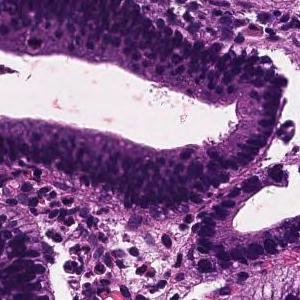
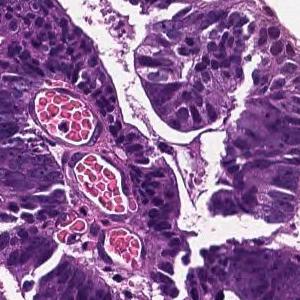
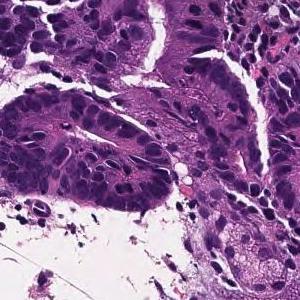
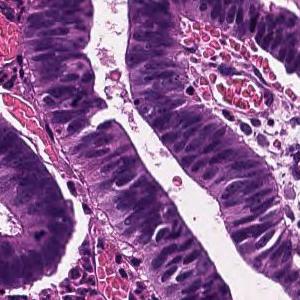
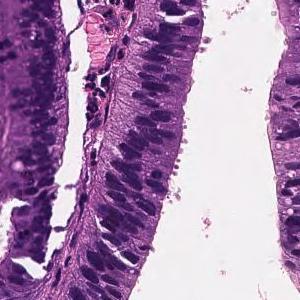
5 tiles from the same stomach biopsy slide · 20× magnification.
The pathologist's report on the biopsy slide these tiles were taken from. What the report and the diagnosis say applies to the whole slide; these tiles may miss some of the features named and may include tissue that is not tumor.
Tumor tissue consisting of large papillary structures is found in the superficial epithelium. Papillary adenocarcinoma.
